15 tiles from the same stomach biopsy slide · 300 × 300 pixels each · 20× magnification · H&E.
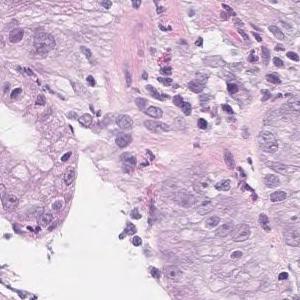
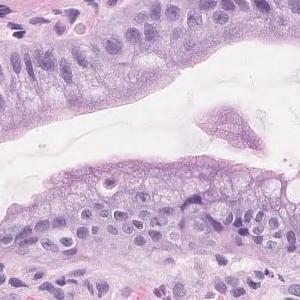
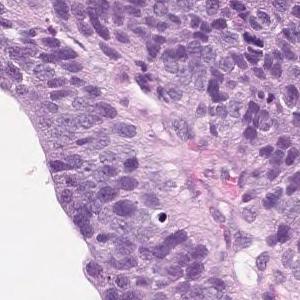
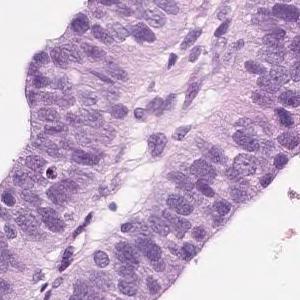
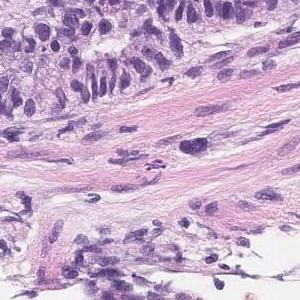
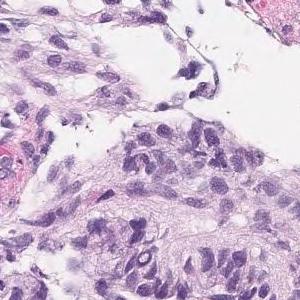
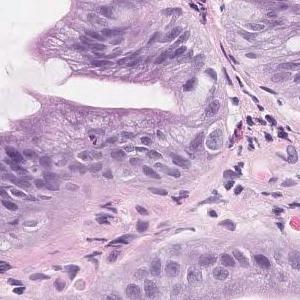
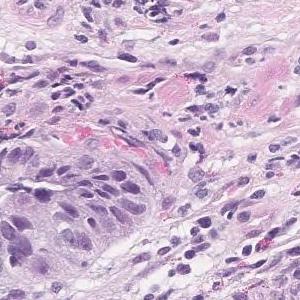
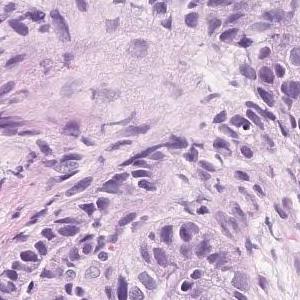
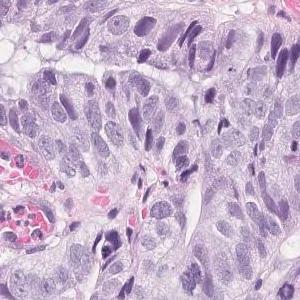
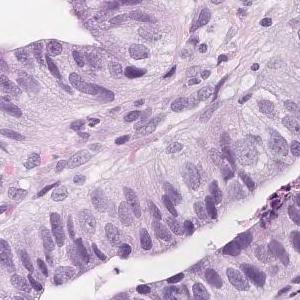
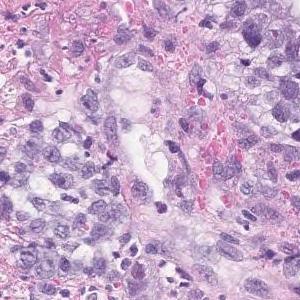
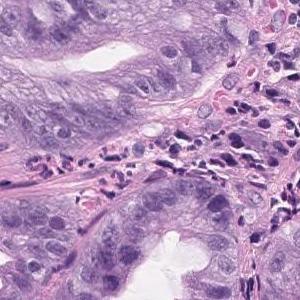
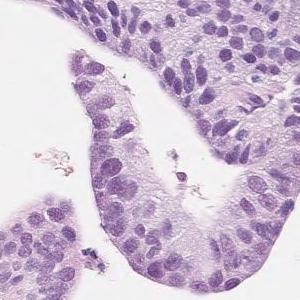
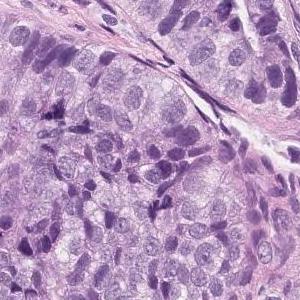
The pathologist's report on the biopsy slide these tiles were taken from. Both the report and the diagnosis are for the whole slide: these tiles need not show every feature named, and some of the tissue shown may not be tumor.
Tumor tissue in which highly columnar atypical epithelial cells with nuclear enlargement and increased nuclear chromatin show papillary to papillary ductal structure and proliferate is observed. Papillary adenocarcinoma.
